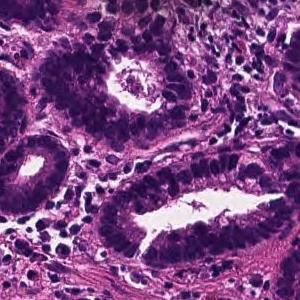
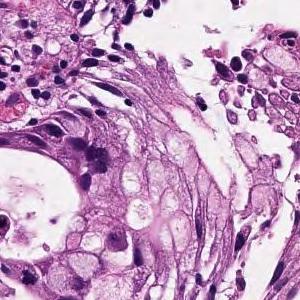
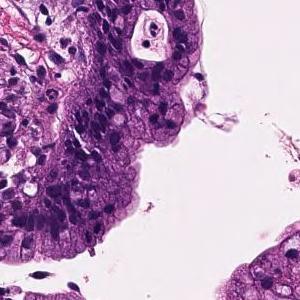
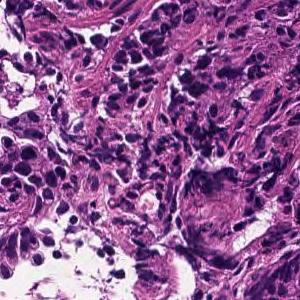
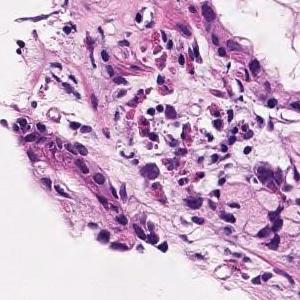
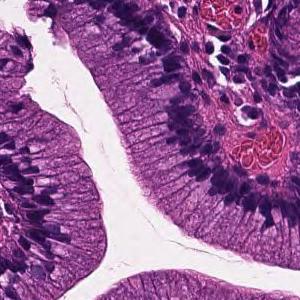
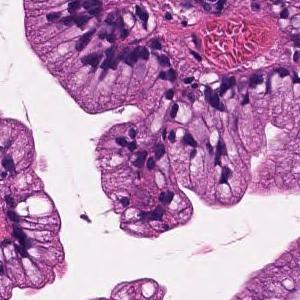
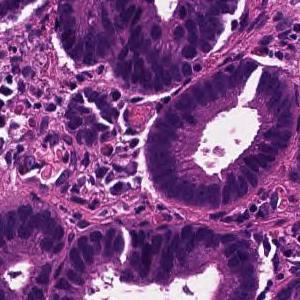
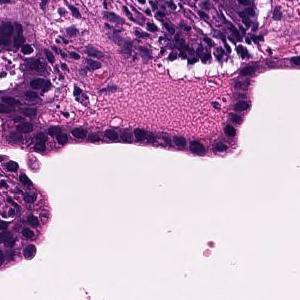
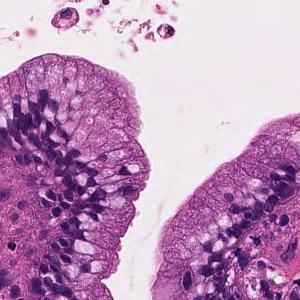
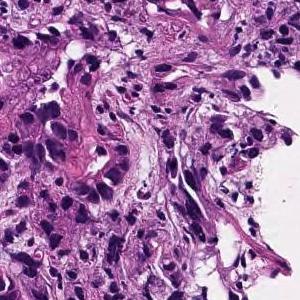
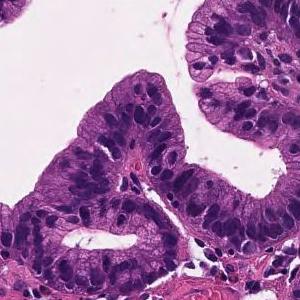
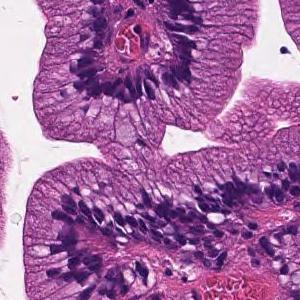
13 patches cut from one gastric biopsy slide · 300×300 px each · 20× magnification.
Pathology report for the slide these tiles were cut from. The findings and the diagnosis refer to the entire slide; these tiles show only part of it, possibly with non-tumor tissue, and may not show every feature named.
On the superficial epithelium, tumor tissue consisting of medium-sized and irregular glandular ducts partially fused and infiltrated is observed. Well to moderately differentiated tubular adenocarcinoma (well differentiated tubular adenocarcinoma-moderately differentiated tubular adenocarcinoma)
Histological subtype: Well to moderately differentiated tubular adenocarcinoma.
